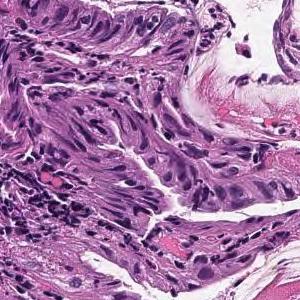
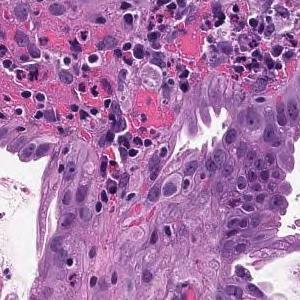
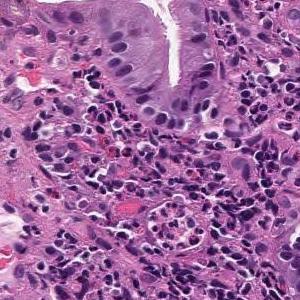
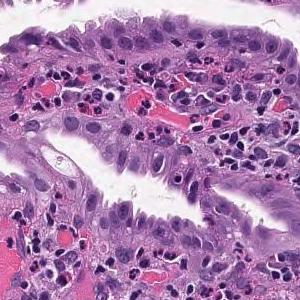
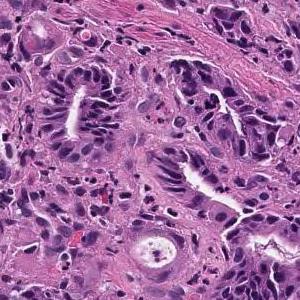
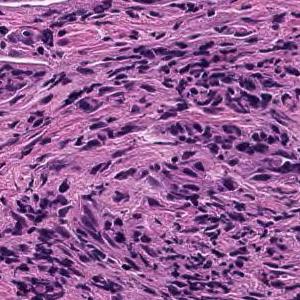
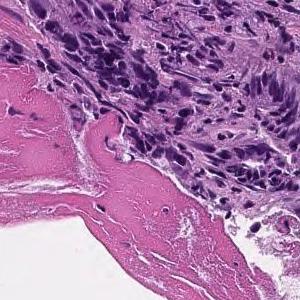
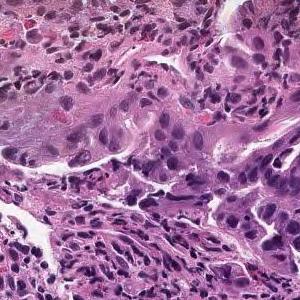
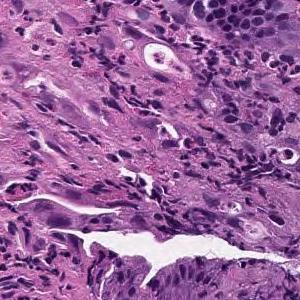
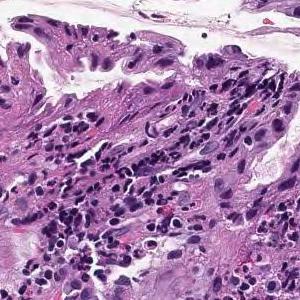
Scanned at ×20 · hematoxylin and eosin stain · 10 tiles from the same stomach biopsy slide · each 300 × 300 pixels.
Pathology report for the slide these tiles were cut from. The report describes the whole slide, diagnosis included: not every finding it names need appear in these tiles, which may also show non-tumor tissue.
On the superficial epithelium, tumor tissue consisting of large, irregular glandular ducts partially fused and infiltrated is observed. Well to moderately differentiated tubular adenocarcinoma (well differentiated tubular adenocarcinoma, moderately differentiated tubular adenocarcinoma)
Histological subtype: Well to moderately differentiated tubular adenocarcinoma.
